14 tiles from the same stomach biopsy slide, 300×300 px each, hematoxylin and eosin stain.
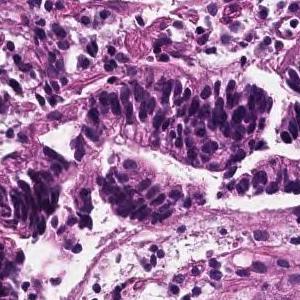
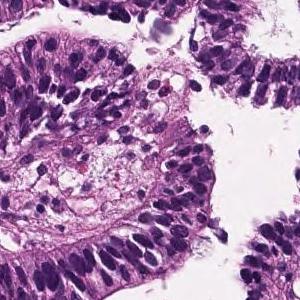
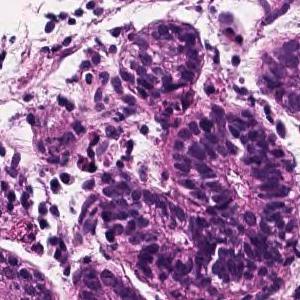
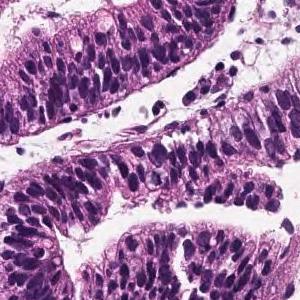
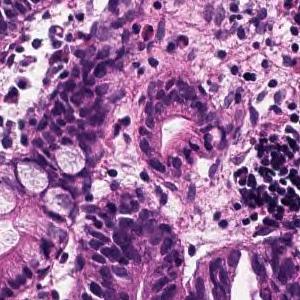
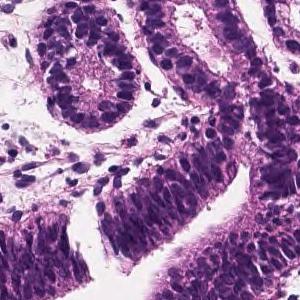
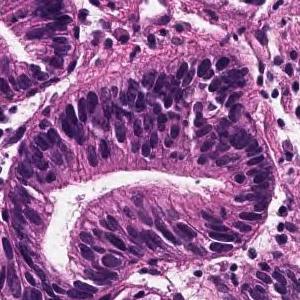
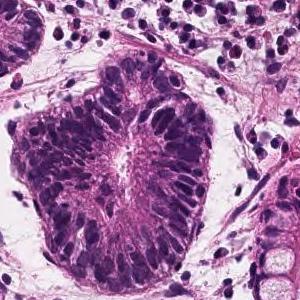
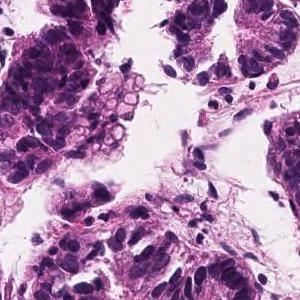
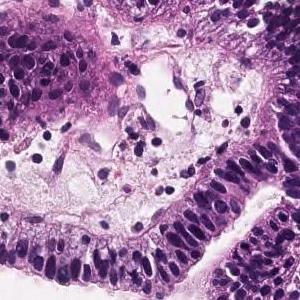
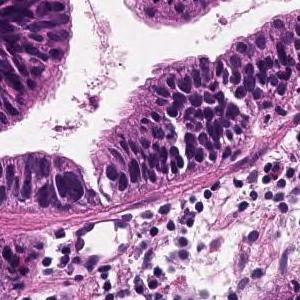
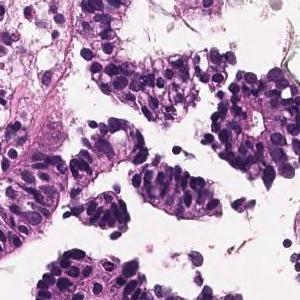
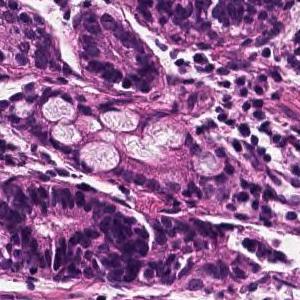
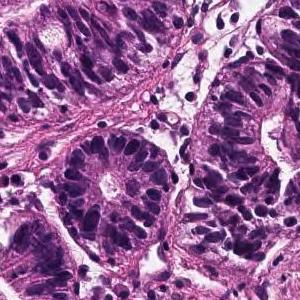
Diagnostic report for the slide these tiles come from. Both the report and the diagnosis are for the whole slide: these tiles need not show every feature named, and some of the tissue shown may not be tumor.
Tumor cells are large, highly columnar, large club-shaped nuclei, and are associated with chromatin aggregation. Papillary adenocarcinoma.
